Hematoxylin and eosin stain · 16 tiles cut from one stomach biopsy slide.
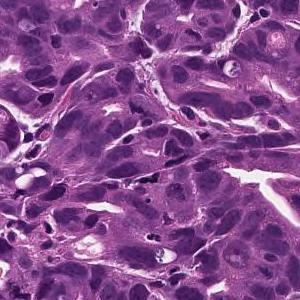
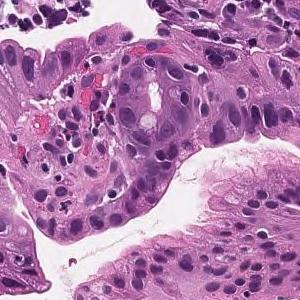
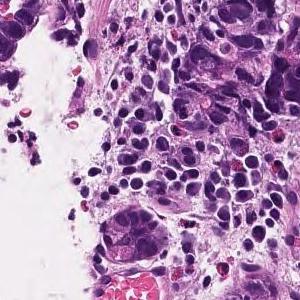
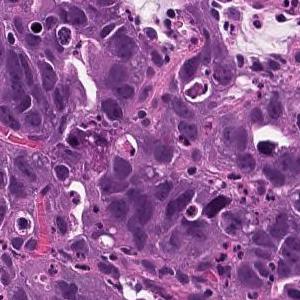
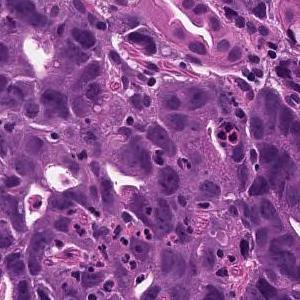
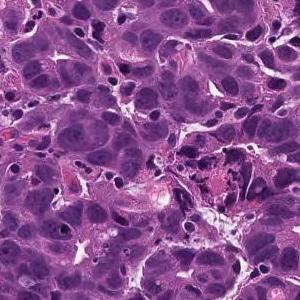
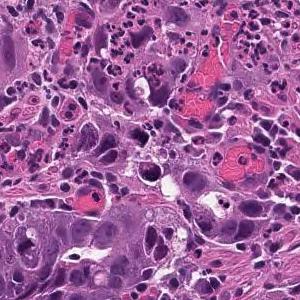
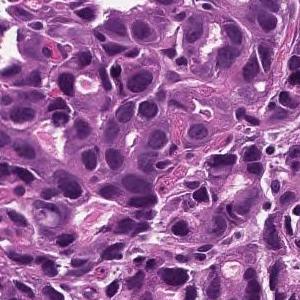
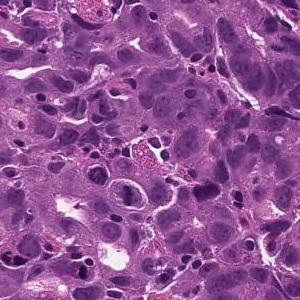
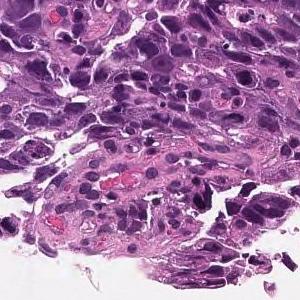
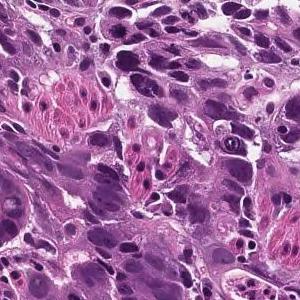
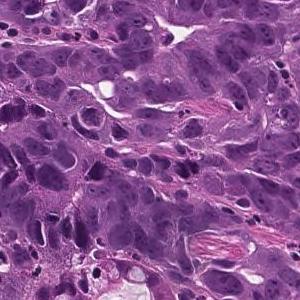
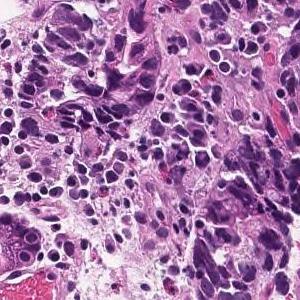
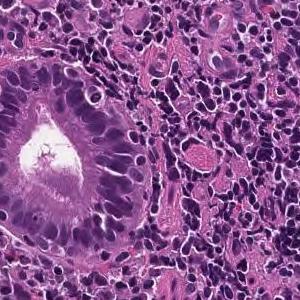
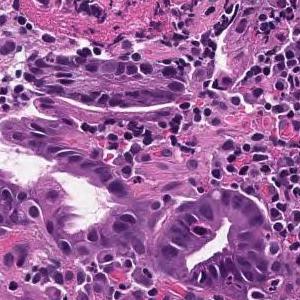
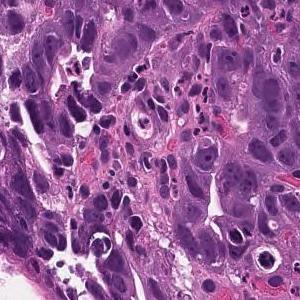
The pathologist's report on the biopsy slide these tiles were taken from. The report and the diagnosis cover the entire slide, so not every feature they name need be visible here, and some tissue shown may not be tumor.
On the superficial epithelium, tumor tissue is found in which medium-sized irregular gland ducts fuse with each other and infiltrate. moderately differentiated tubular adenocarcinoma
